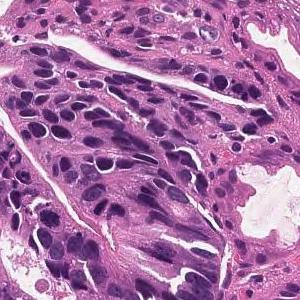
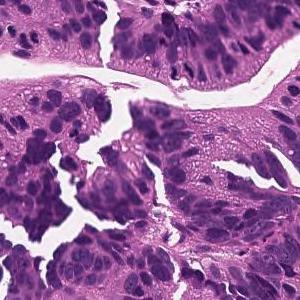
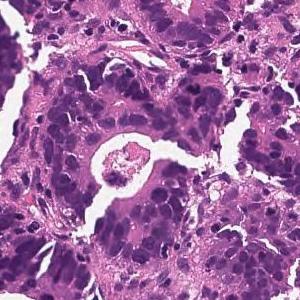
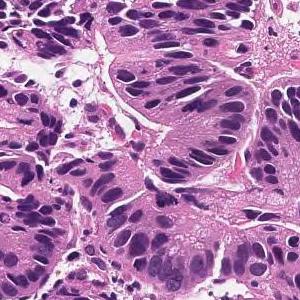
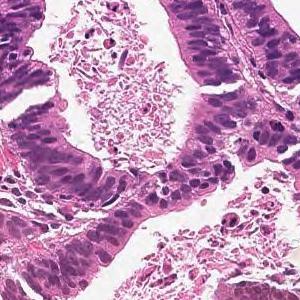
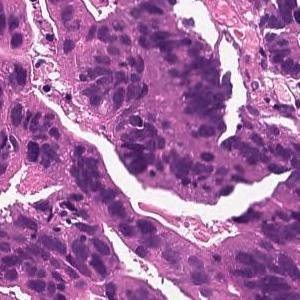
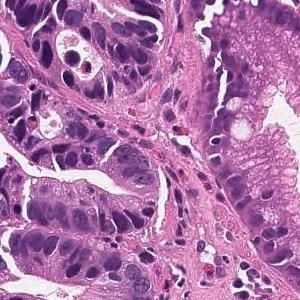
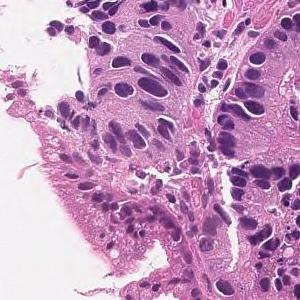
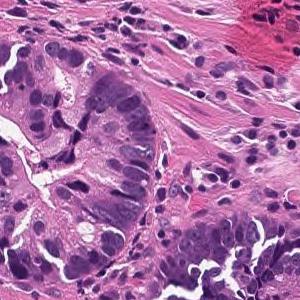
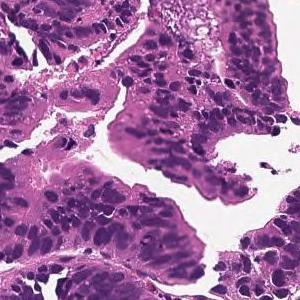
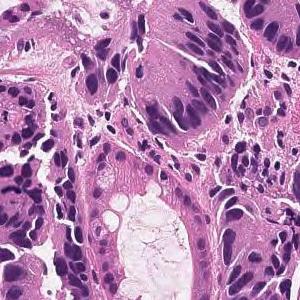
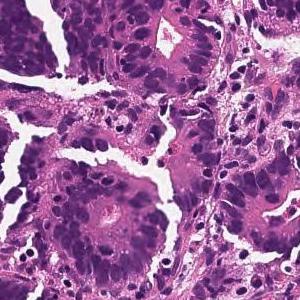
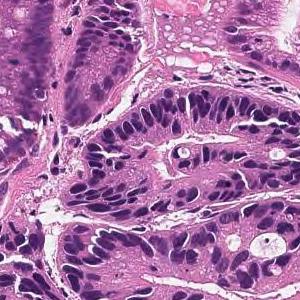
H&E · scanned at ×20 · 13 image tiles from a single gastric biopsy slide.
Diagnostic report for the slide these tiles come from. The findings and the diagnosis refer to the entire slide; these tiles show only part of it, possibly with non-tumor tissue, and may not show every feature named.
Tumor cells are large, highly columnar, large club-shaped nuclei, and are associated with chromatin aggregation. Papillary adenocarcinoma.
